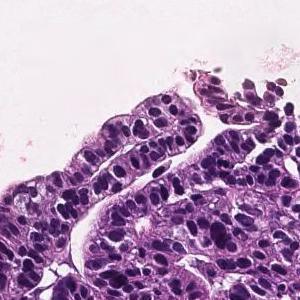
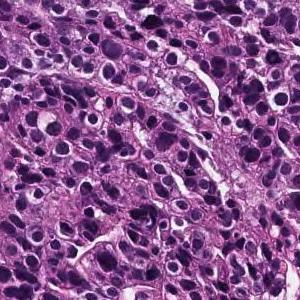
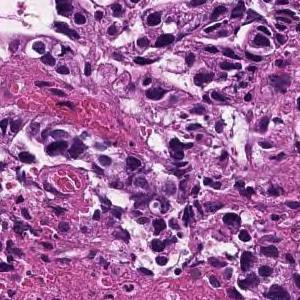
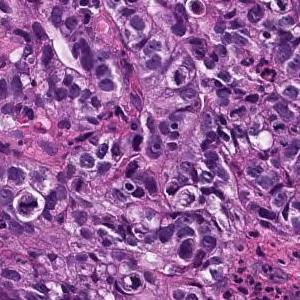
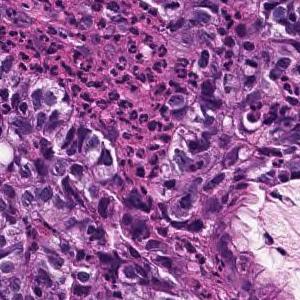
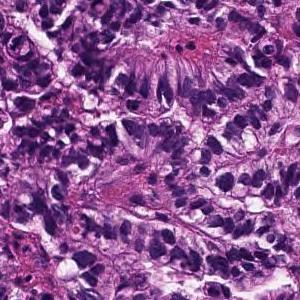
H&E · 6 patches cut from one gastric biopsy slide · 300 × 300 pixels each.
Diagnostic report for the slide these tiles come from. The report describes the whole slide, diagnosis included: not every finding it names need appear in these tiles, which may also show non-tumor tissue.
In the superficial epithelium, tumor tissue that invades by forming medium-sized to small, irregular ducts is observed. moderately differentiated tubular adenocarcinoma.
